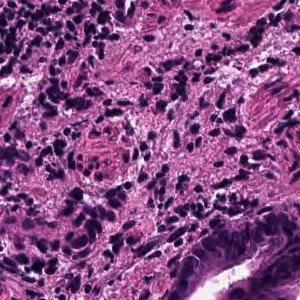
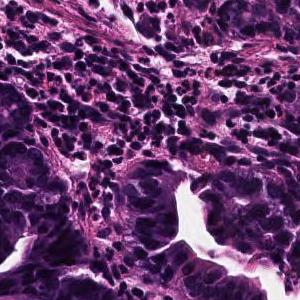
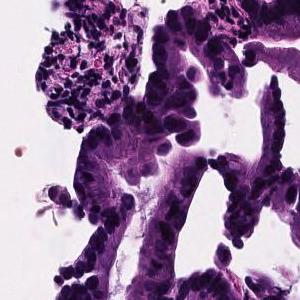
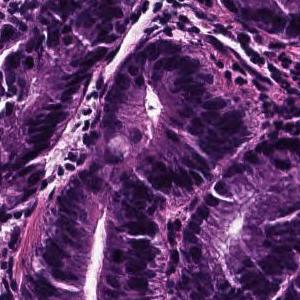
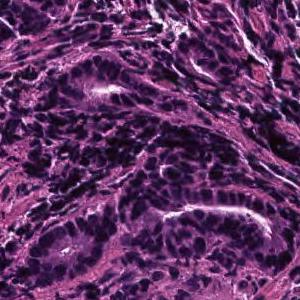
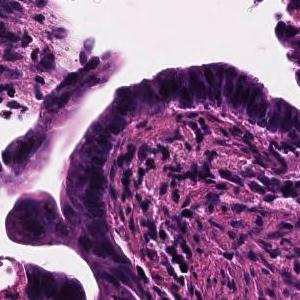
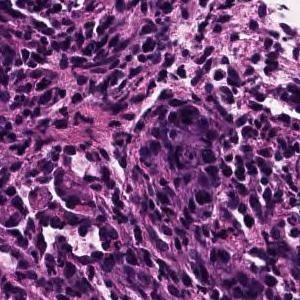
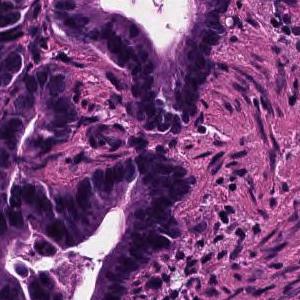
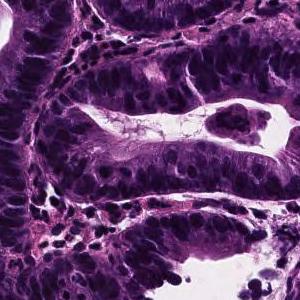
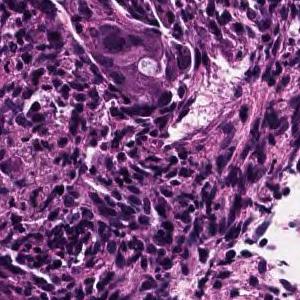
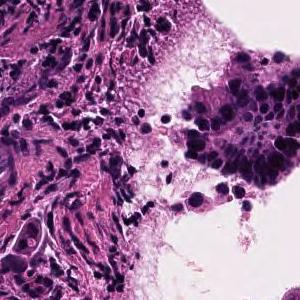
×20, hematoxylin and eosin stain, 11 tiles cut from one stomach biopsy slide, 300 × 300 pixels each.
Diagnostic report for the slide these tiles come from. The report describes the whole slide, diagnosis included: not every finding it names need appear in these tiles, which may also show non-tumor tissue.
On the superficial epithelium, tumor tissue consisting of large, irregular glandular ducts partially fused and infiltrated is observed. Well to moderately differentiated tubular adenocarcinoma (well differentiated tubular adenocarcinoma, moderately differentiated tubular adenocarcinoma)
Subtype: Well to moderately differentiated tubular adenocarcinoma.
